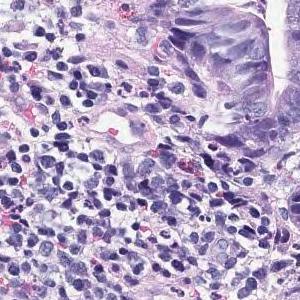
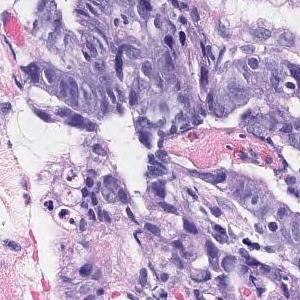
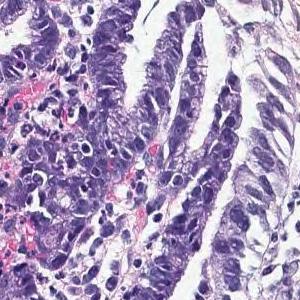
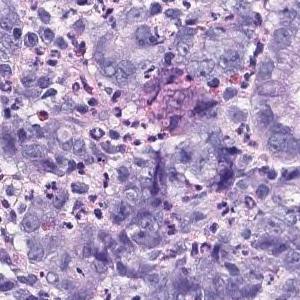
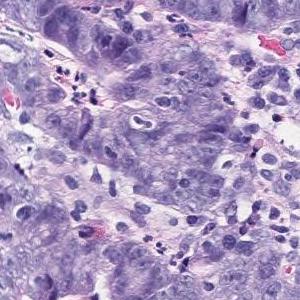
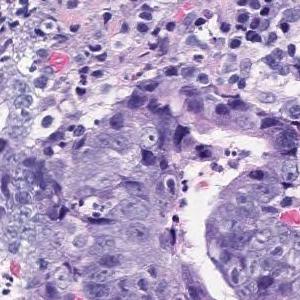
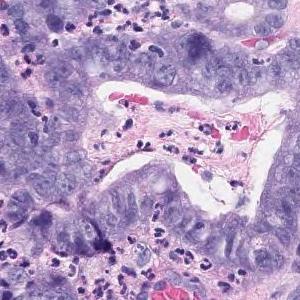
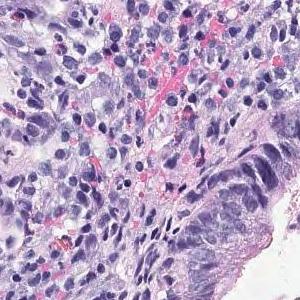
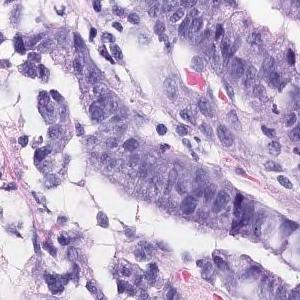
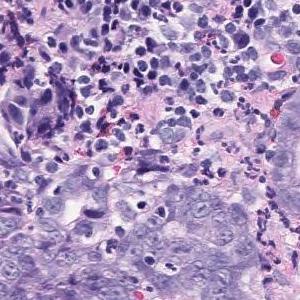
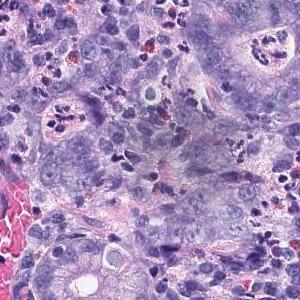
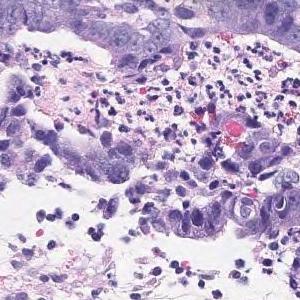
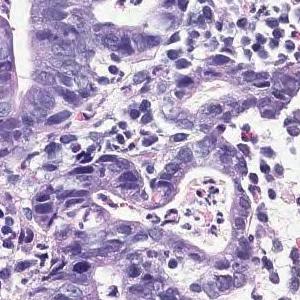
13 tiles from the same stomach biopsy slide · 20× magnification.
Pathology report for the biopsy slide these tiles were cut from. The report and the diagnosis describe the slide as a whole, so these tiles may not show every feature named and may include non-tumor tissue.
In the superficial epithelium, tumor tissue that invades by forming medium-sized to small, irregular ducts is observed. Moderately differentiated adenocarcinoma.
Histological subtype: Moderately differentiated tubular adenocarcinoma.
